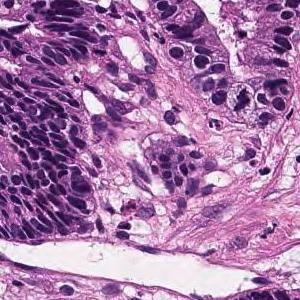
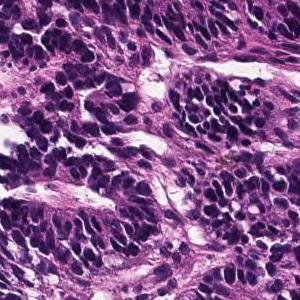
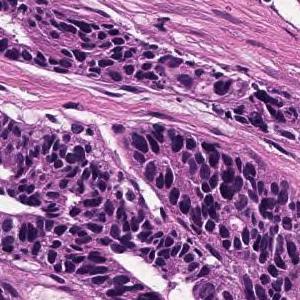
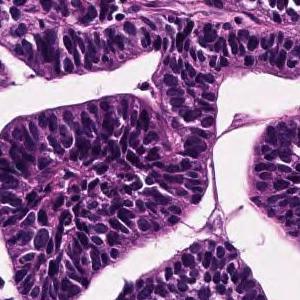
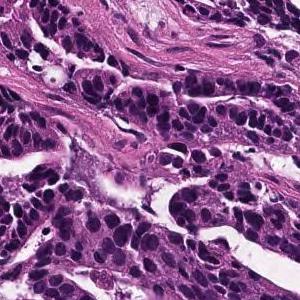
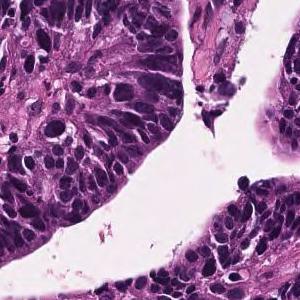
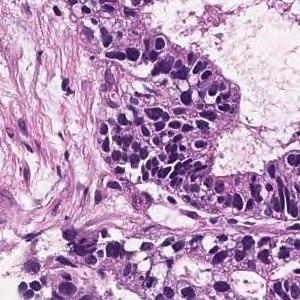
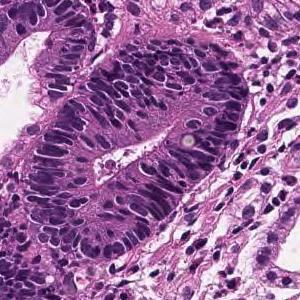
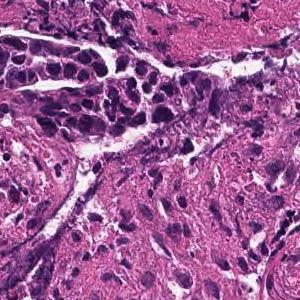
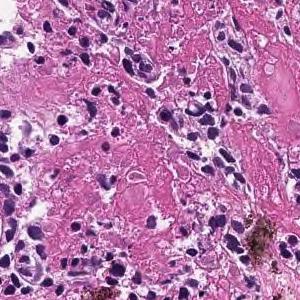
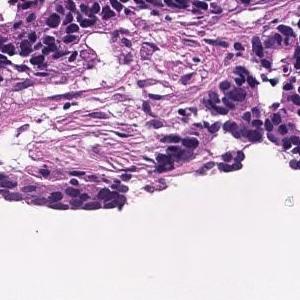
11 tiles from the same stomach biopsy slide · scanned at ×20 · H&E.
The pathologist's report on the biopsy slide these tiles were taken from. The report and the diagnosis cover the entire slide, so not every feature they name need be visible here, and some tissue shown may not be tumor.
In the superficial epithelium, tumor tissue that invades by forming medium-sized to small, irregular ducts is observed. Well differentiated tubular adenocarcinoma.
